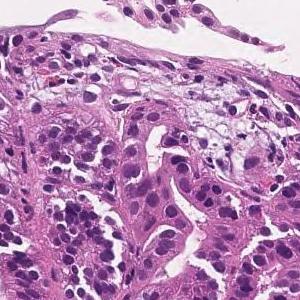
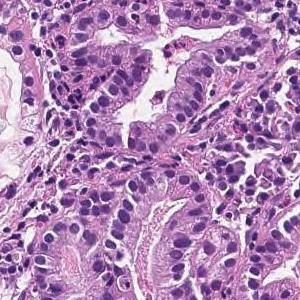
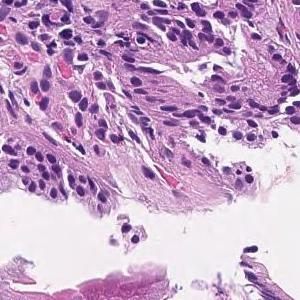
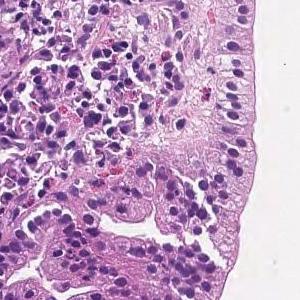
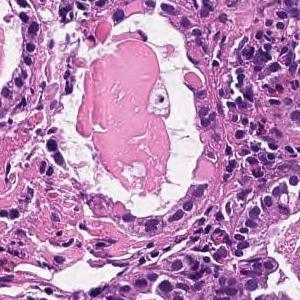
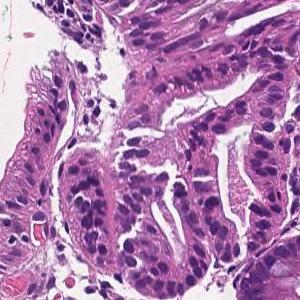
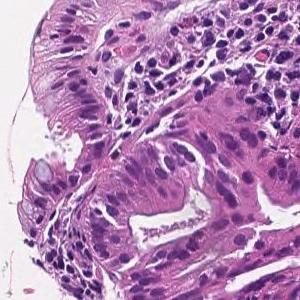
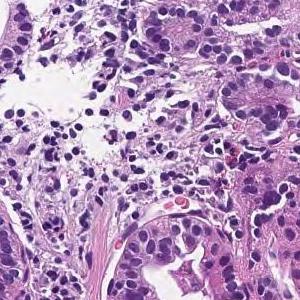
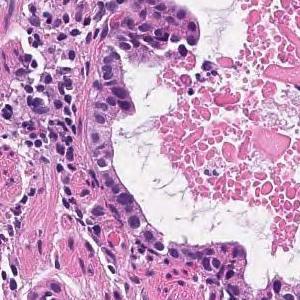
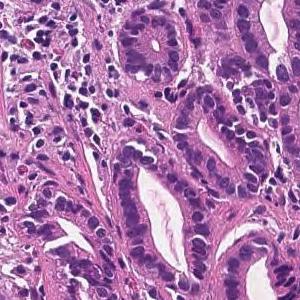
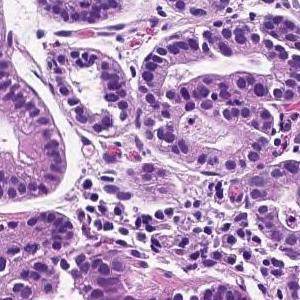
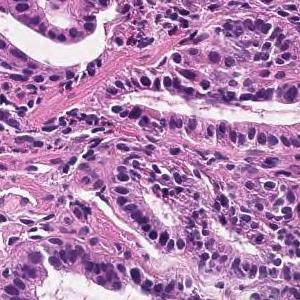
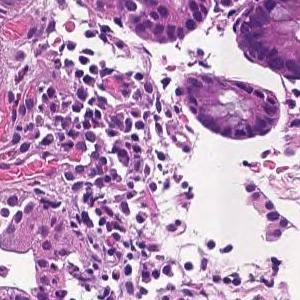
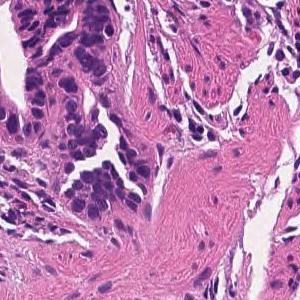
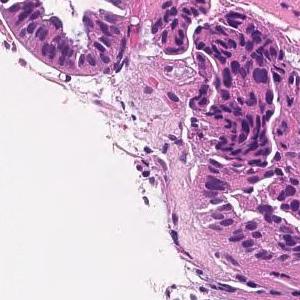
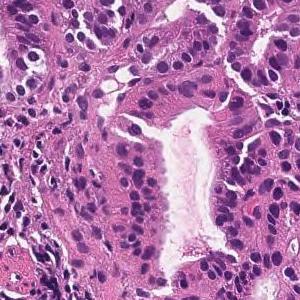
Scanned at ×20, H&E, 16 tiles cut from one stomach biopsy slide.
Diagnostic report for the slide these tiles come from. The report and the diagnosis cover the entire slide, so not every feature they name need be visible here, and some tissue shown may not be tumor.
On the superficial epithelium, tumor tissue that infiltrates by forming medium-sized papillary or small irregular ducts is observed. Papillary adenocarcinoma (Papillary adenocarcinoma)
Subtype: Papillary adenocarcinoma.
